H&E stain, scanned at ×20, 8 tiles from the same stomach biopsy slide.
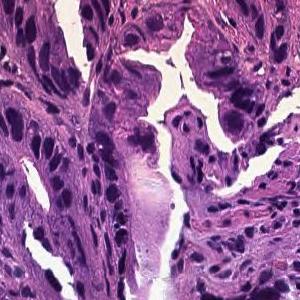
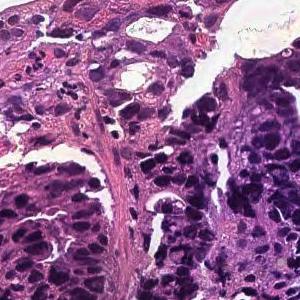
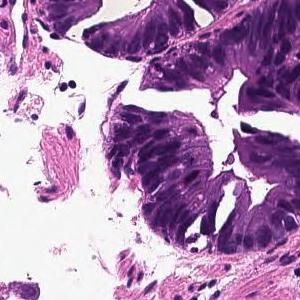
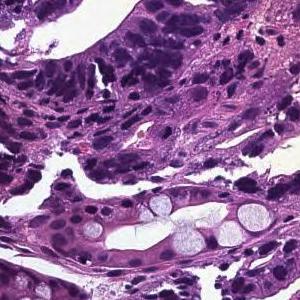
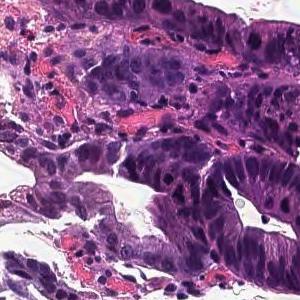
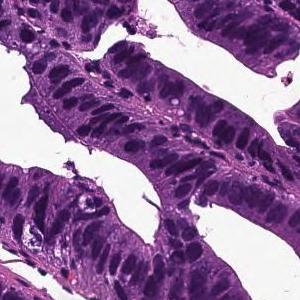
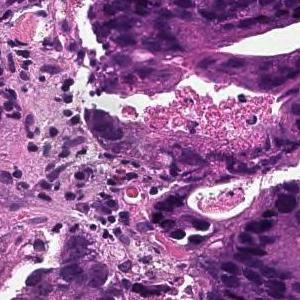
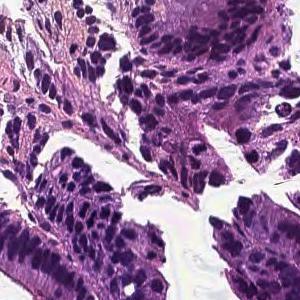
The pathologist's report on the biopsy slide these tiles were taken from. The report and the diagnosis describe the slide as a whole, so these tiles may not show every feature named and may include non-tumor tissue.
In the superficial epithelium, tumor tissue that invades by forming medium-sized to small, irregular ducts is observed. moderately differentiated tubular adenocarcinoma.
